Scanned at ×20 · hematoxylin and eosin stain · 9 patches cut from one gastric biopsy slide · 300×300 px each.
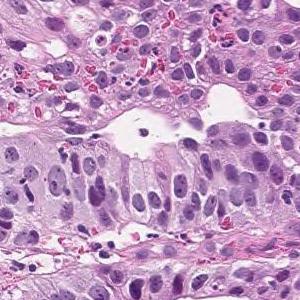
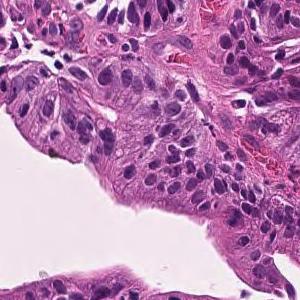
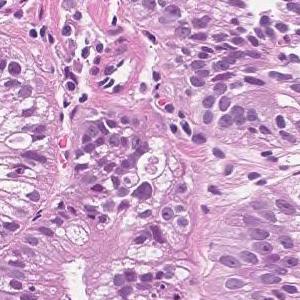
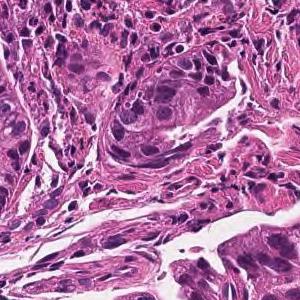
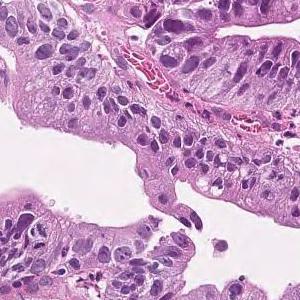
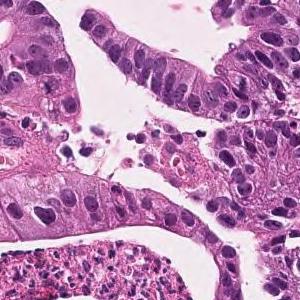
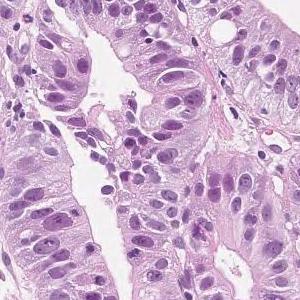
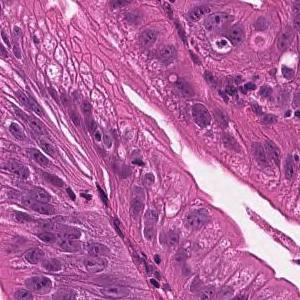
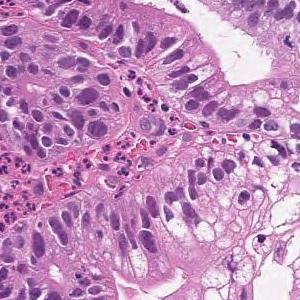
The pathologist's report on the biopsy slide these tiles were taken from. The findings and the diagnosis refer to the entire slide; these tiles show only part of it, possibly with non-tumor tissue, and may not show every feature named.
Tumor cells are large, highly columnar, large club-shaped nuclei, and are associated with chromatin aggregation. Papillary adenocarcinoma.
